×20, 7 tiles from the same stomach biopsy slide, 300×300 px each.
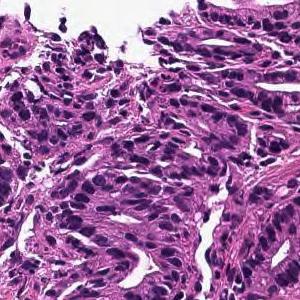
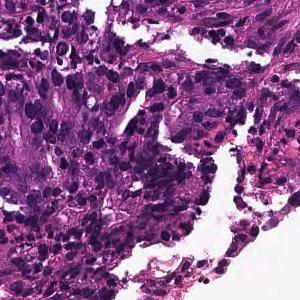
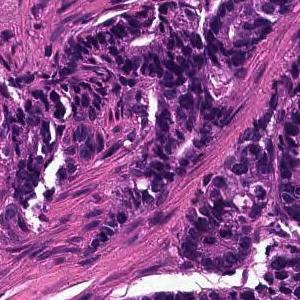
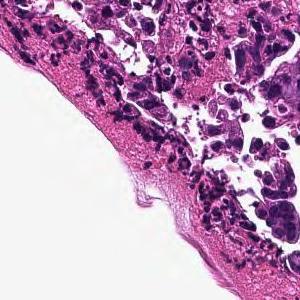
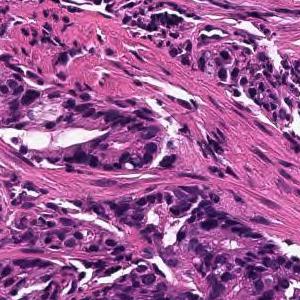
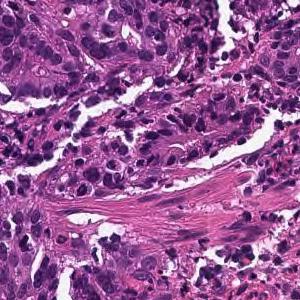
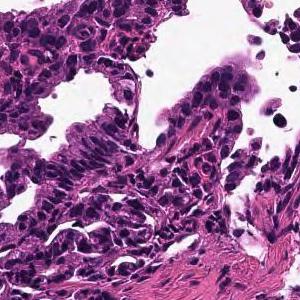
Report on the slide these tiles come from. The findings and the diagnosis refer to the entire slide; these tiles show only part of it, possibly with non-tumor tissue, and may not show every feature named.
In the superficial epithelium, tumor tissue that invades by forming medium-sized to small, irregular ducts is observed. moderately differentiated tubular adenocarcinoma.
